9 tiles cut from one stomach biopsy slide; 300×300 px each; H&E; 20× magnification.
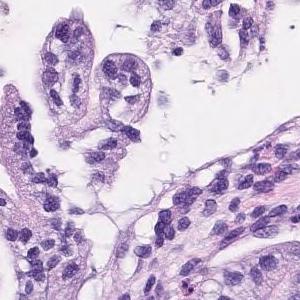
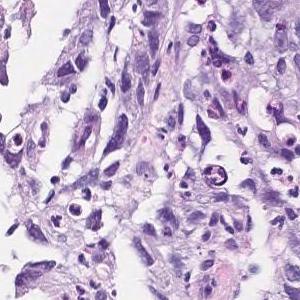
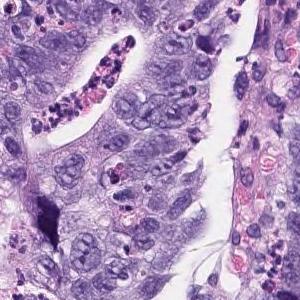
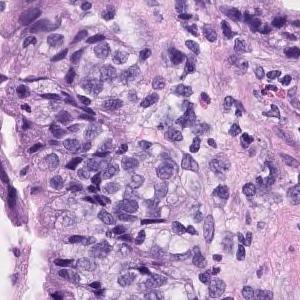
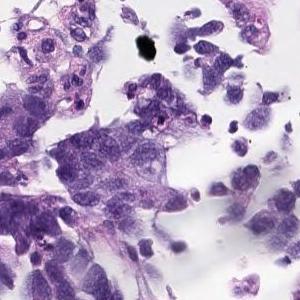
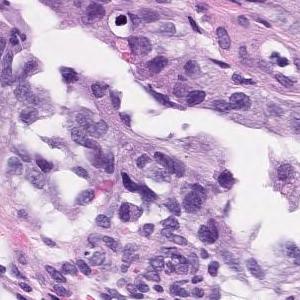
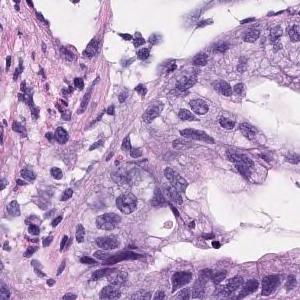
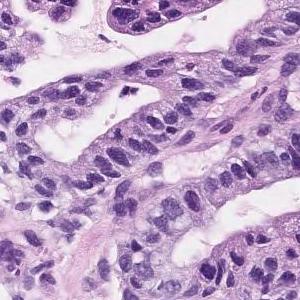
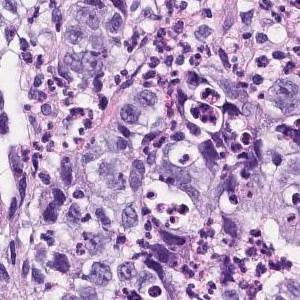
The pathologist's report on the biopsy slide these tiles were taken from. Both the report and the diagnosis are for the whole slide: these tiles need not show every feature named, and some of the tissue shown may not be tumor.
Tumor cells are large, highly columnar, large club-shaped nuclei, and are associated with chromatin aggregation. Papillary adenocarcinoma.
